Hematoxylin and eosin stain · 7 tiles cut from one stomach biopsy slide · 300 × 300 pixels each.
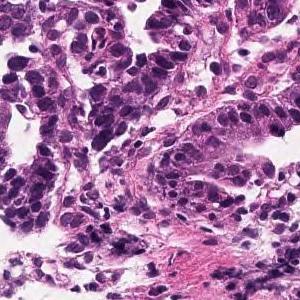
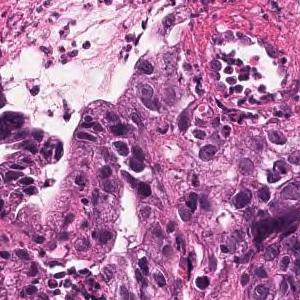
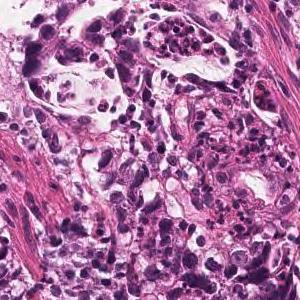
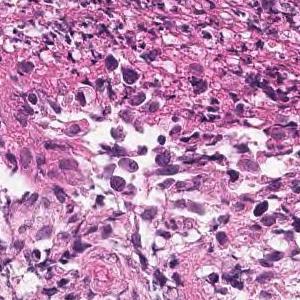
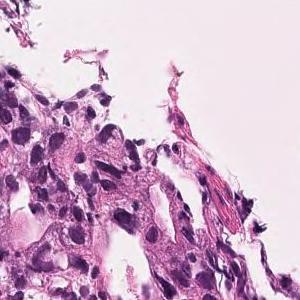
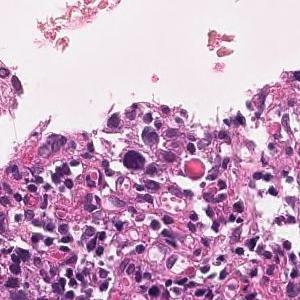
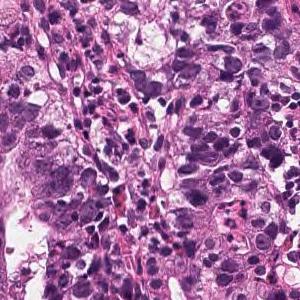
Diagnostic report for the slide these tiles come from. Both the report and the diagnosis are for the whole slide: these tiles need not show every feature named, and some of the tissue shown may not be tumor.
In the superficial epithelium, tumor tissue that invades by forming medium-sized to small, irregular ducts is observed. Moderately differentiated adenocarcinoma.
Subtype: Moderately differentiated tubular adenocarcinoma.
